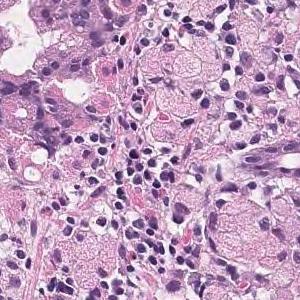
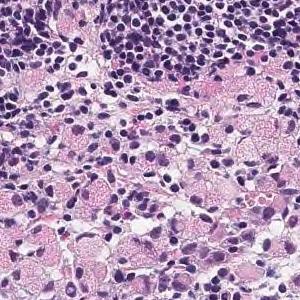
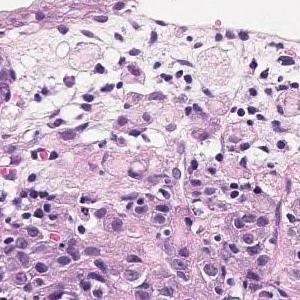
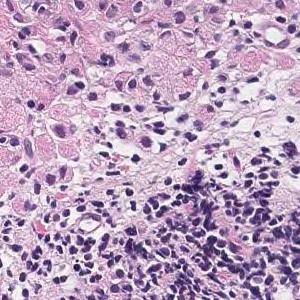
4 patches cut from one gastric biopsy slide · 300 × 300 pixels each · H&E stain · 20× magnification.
The pathologist's report on the biopsy slide these tiles were taken from. What the report and the diagnosis say applies to the whole slide; these tiles may miss some of the features named and may include tissue that is not tumor.
Atypical epithelium with the mucus rich vesicles proliferates solidly. Signet ring cell carcinoma.
